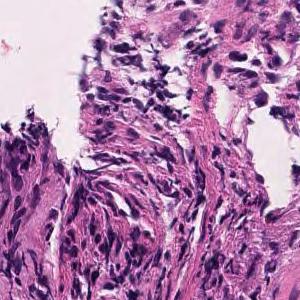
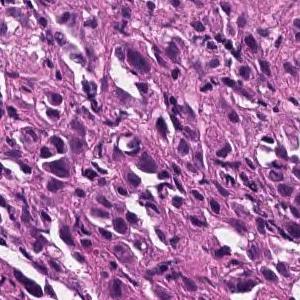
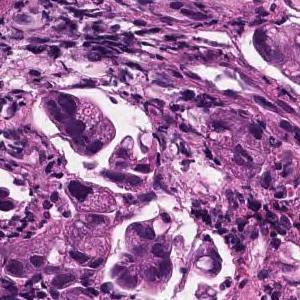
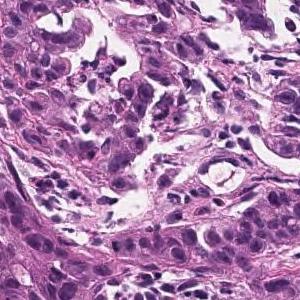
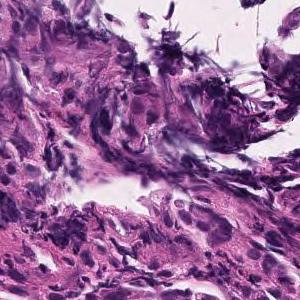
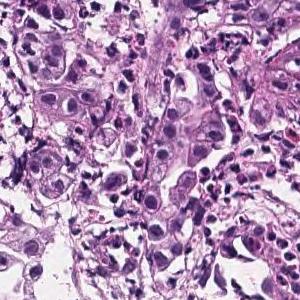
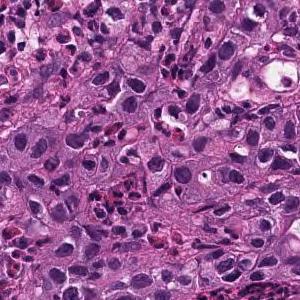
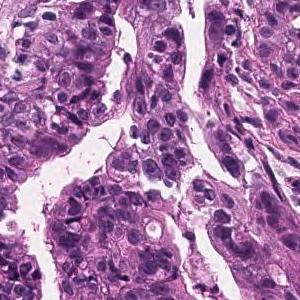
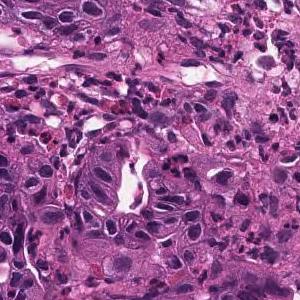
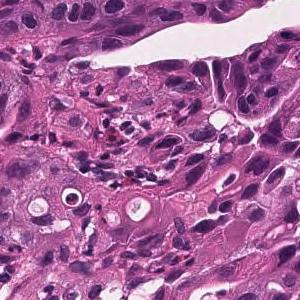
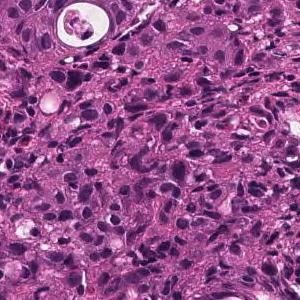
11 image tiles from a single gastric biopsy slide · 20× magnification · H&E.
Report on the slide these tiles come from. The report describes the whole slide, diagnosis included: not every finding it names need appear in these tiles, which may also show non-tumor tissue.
Tumor tissue consisting of medium-sized, cord-like or irregular glandular infiltration is observed in the superficial epithelium. Poorly differentiated adenocarcinoma, non-solid type or moderately differentiated tubular adenocarcinoma
The term "non-solid type" comes from the Japanese Classification of Gastric Carcinoma.
